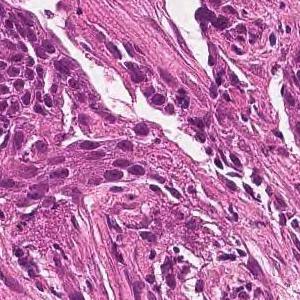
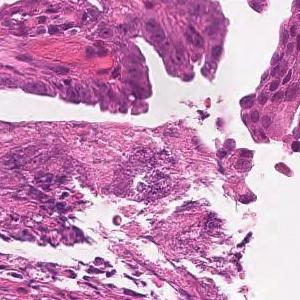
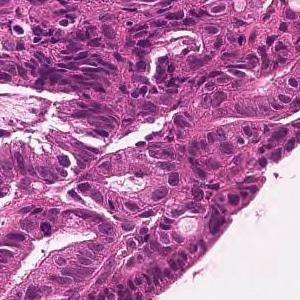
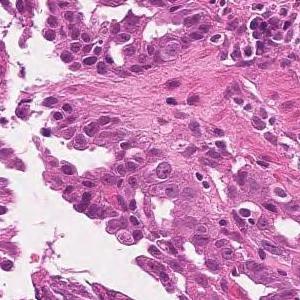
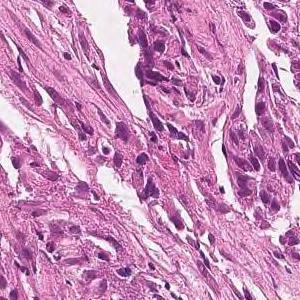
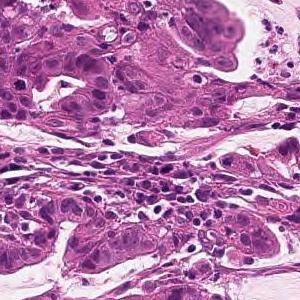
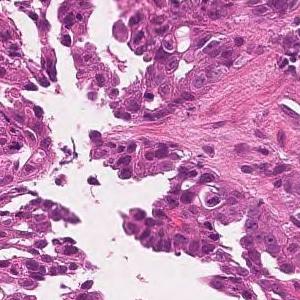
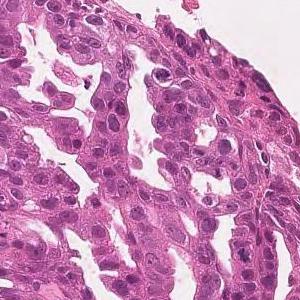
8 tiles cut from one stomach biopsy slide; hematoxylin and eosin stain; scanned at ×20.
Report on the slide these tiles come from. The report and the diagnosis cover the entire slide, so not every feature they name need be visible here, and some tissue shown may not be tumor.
Tumor tissue consisting of large papillary structures is found in the superficial epithelium. Papillary adenocarcinoma.
